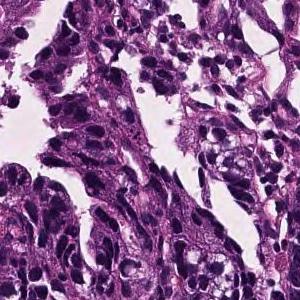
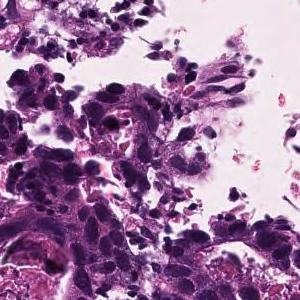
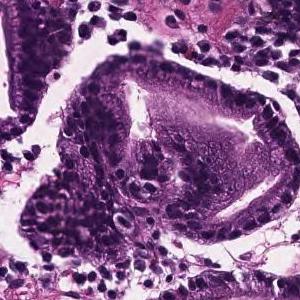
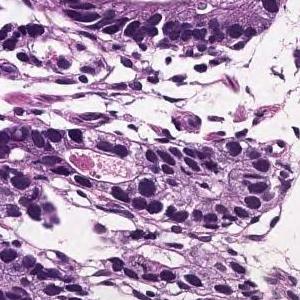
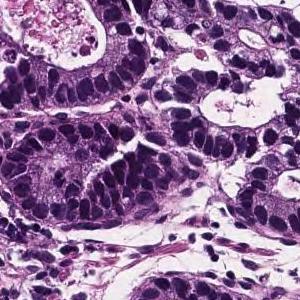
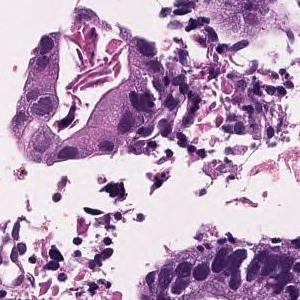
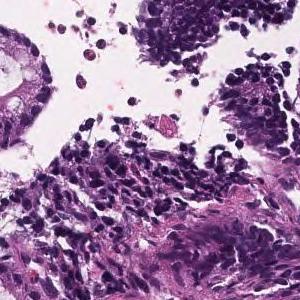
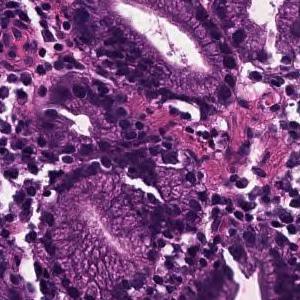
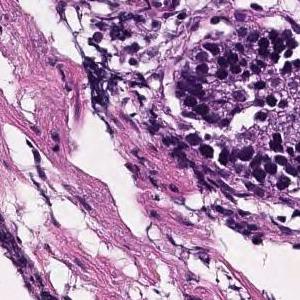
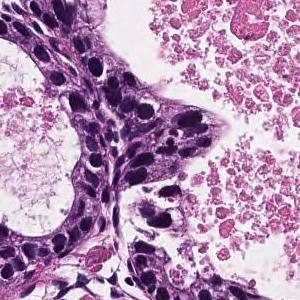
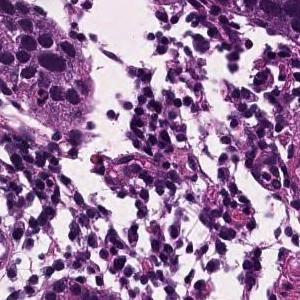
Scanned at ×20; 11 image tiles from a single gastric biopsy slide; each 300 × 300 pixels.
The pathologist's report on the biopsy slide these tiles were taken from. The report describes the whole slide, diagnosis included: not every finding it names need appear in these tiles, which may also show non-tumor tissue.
In the superficial epithelium, tumor tissue that invades by forming medium-sized to small, irregular ducts is observed. Well differentiated tubular adenocarcinoma.
